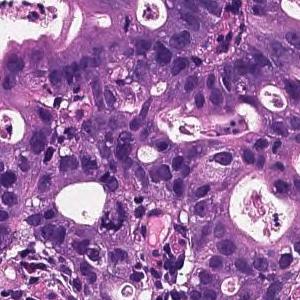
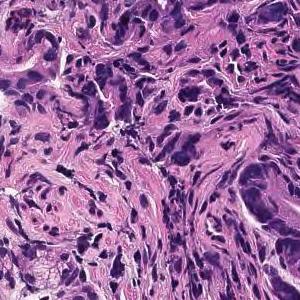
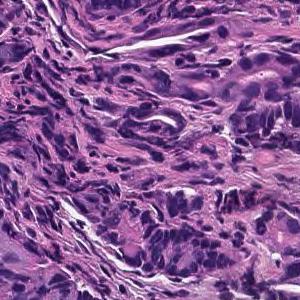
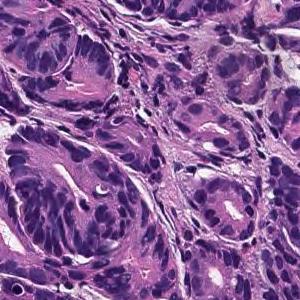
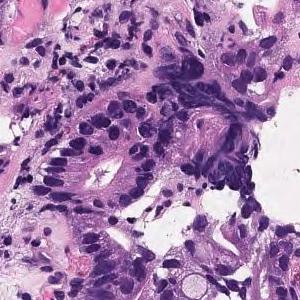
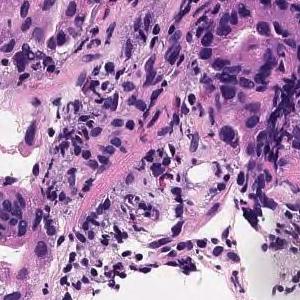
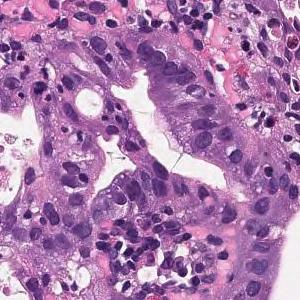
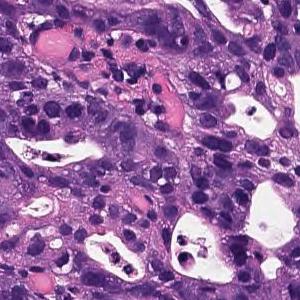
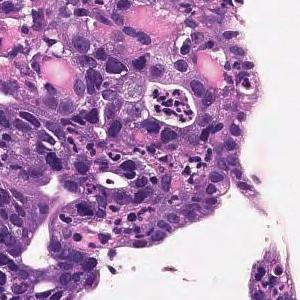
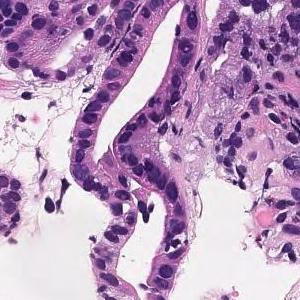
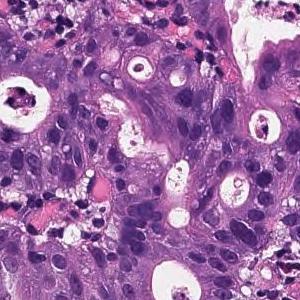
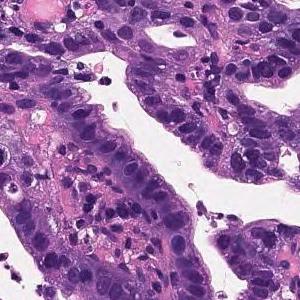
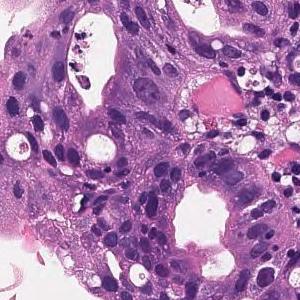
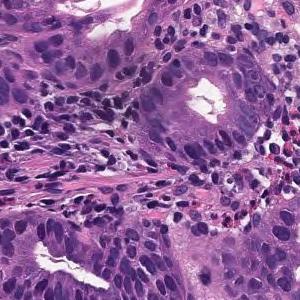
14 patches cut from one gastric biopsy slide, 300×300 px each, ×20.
The pathologist's report on the biopsy slide these tiles were taken from. The report and the diagnosis cover the entire slide, so not every feature they name need be visible here, and some tissue shown may not be tumor.
On the superficial epithelium, tumor tissue consisting of large, irregular glandular ducts partially fused and infiltrated is observed. Well to moderately differentiated tubular adenocarcinoma (well differentiated tubular adenocarcinoma, moderately differentiated tubular adenocarcinoma)
Classified as well to moderately differentiated tubular adenocarcinoma.
